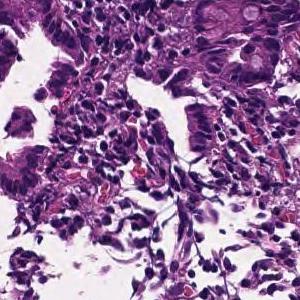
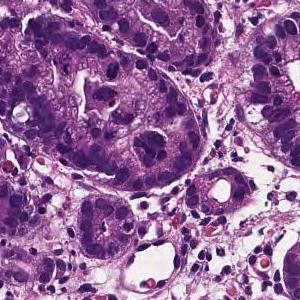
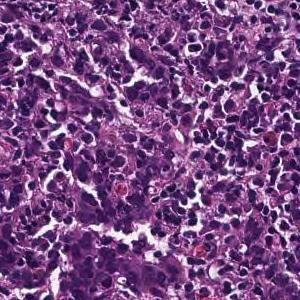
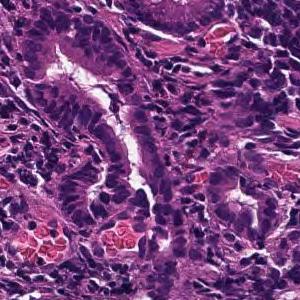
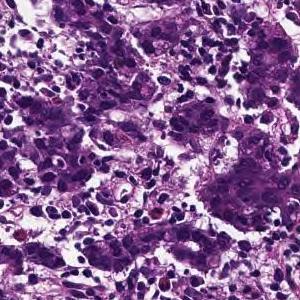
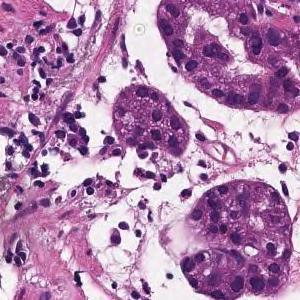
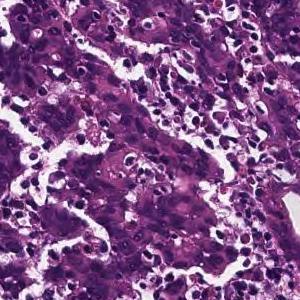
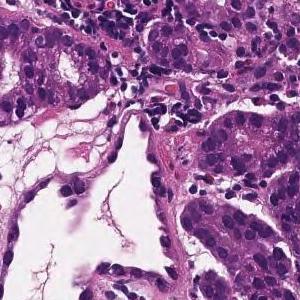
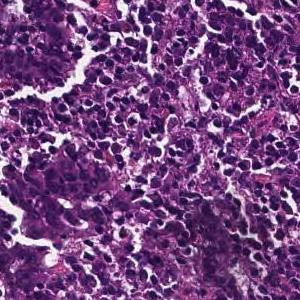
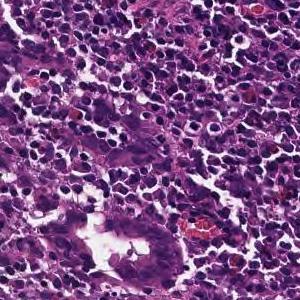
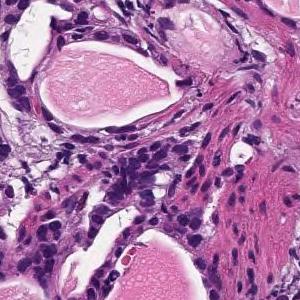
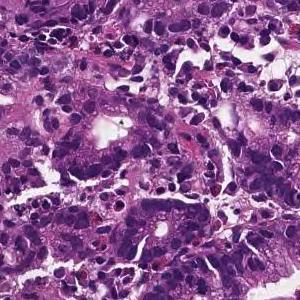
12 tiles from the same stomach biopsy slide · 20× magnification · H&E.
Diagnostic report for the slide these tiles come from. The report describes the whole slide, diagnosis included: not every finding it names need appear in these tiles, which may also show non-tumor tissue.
Tumor tissue consisting of medium-sized, cord-like or irregular glandular infiltration is observed in the superficial epithelium. Poorly differentiated adenocarcinoma, non-solid type or moderately differentiated tubular adenocarcinoma
Histological subtype: Moderately to poorly differentiated adenocarcinoma.
The non-solid type named here is a Japanese Classification of Gastric Carcinoma category.
